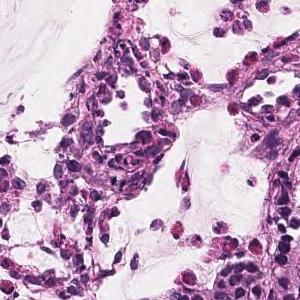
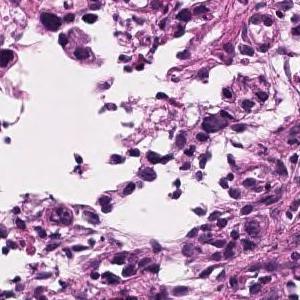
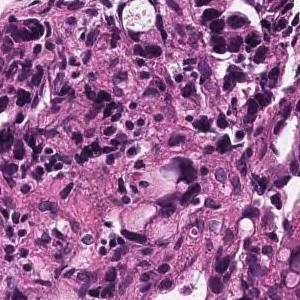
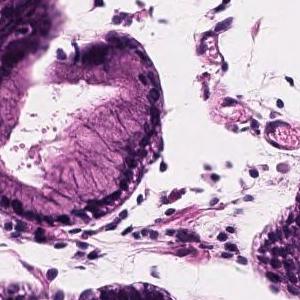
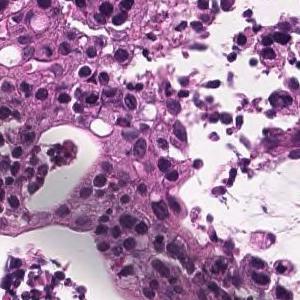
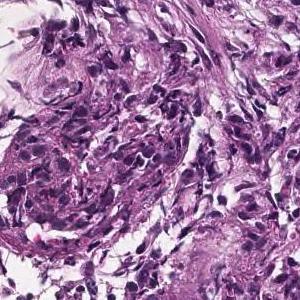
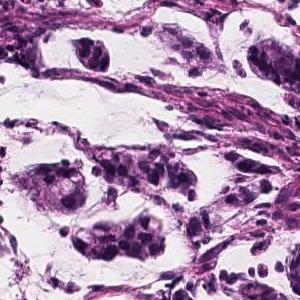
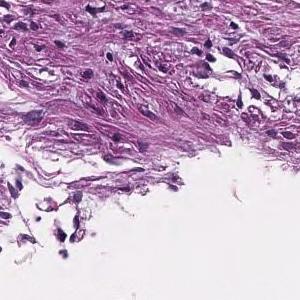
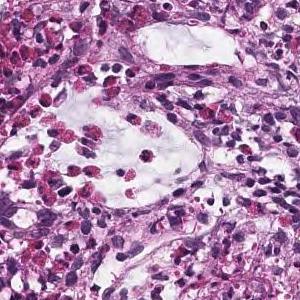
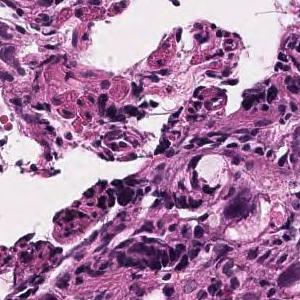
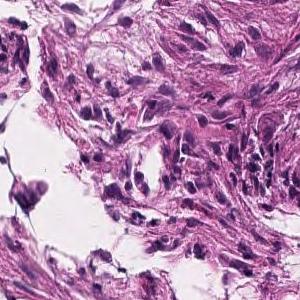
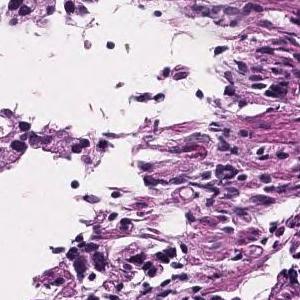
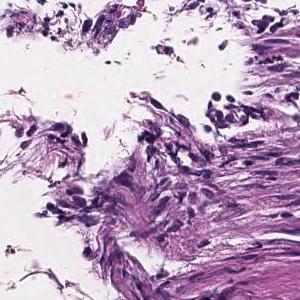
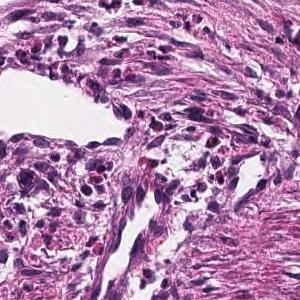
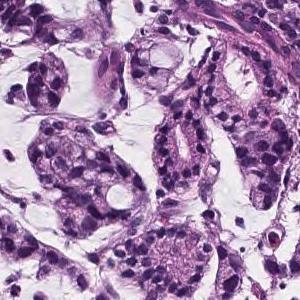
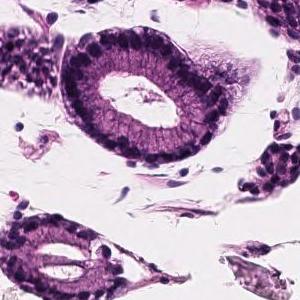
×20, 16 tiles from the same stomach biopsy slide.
Pathology report for the biopsy slide these tiles were cut from. The report describes the whole slide, diagnosis included: not every finding it names need appear in these tiles, which may also show non-tumor tissue.
Atypical epithelial cells form obscure ductal structures or small solid follicles, and tumor tissue that proliferates invasively with proliferation of inflammatory granulation tissue is observed. Mucinous adenocarcinoma .
